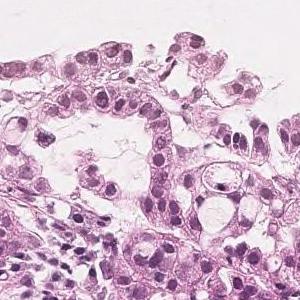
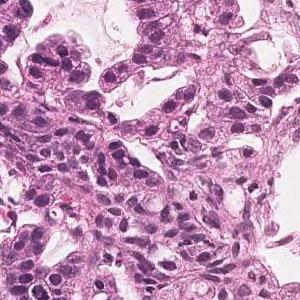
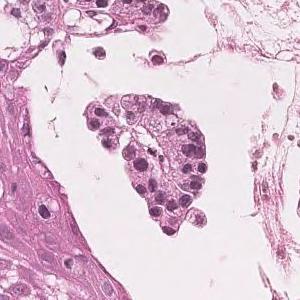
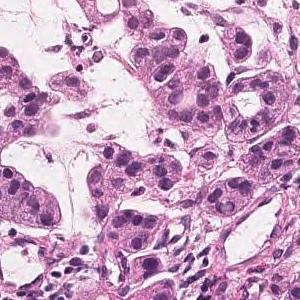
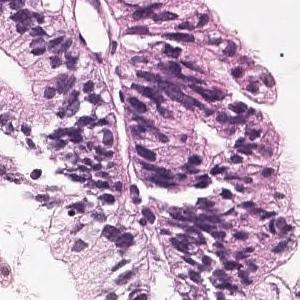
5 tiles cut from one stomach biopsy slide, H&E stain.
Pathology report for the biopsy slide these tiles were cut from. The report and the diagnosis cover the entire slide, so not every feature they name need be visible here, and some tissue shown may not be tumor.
Tumor cells are large, highly columnar, large club-shaped nuclei, and are associated with chromatin aggregation. Papillary adenocarcinoma.
